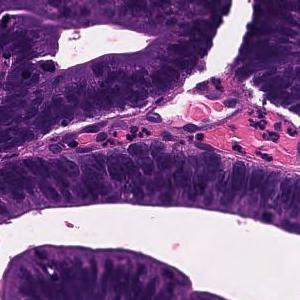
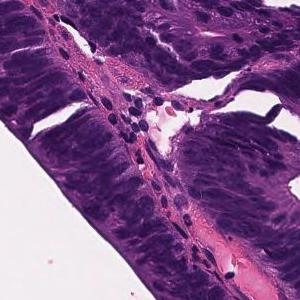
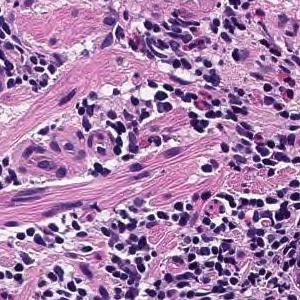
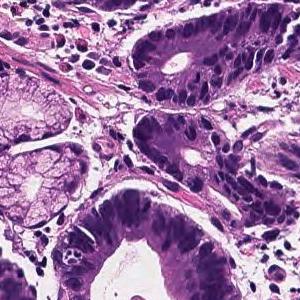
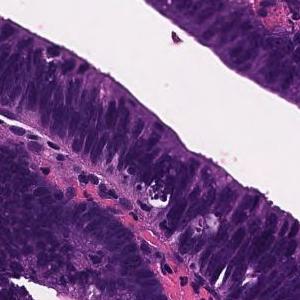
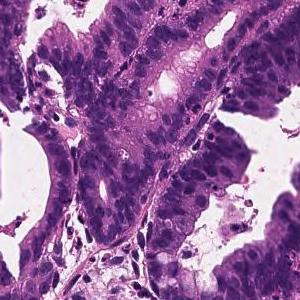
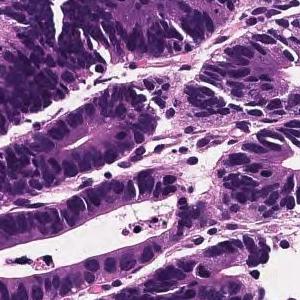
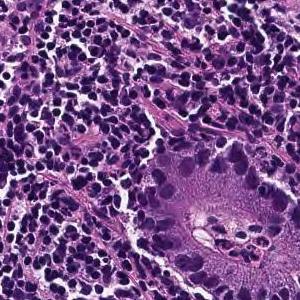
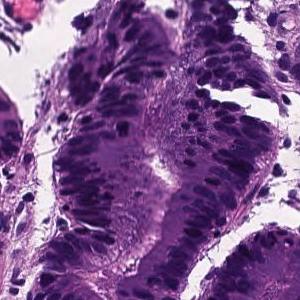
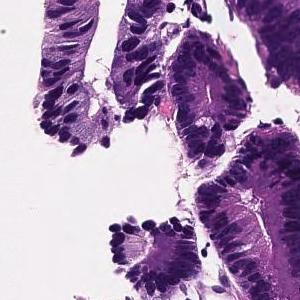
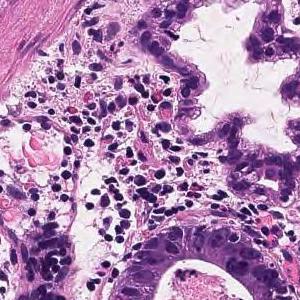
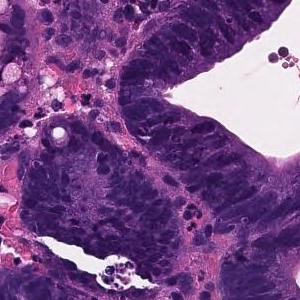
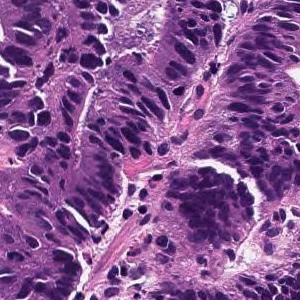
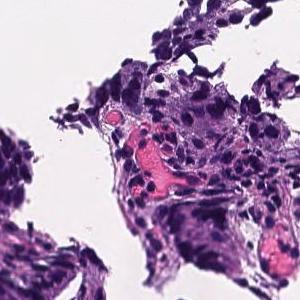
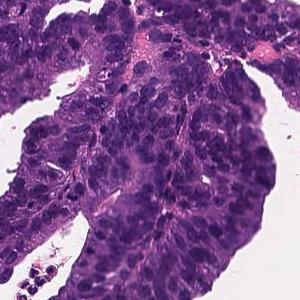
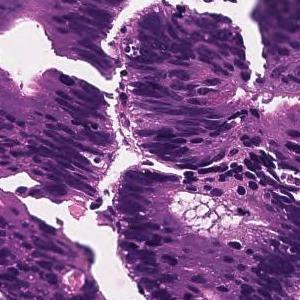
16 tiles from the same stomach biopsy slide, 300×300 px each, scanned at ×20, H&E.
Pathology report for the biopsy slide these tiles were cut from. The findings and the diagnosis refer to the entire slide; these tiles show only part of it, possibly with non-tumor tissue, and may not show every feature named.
Tumor tissue consisting of large papillary structures is found in the superficial epithelium. Papillary adenocarcinoma.
